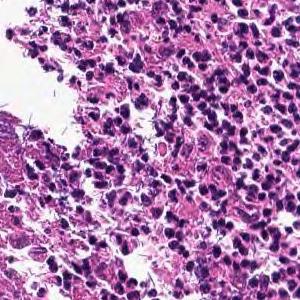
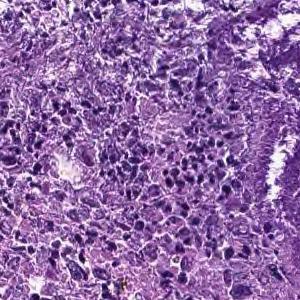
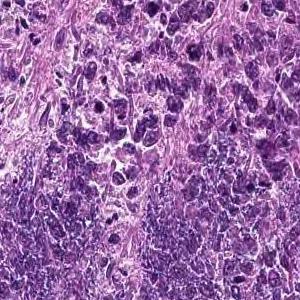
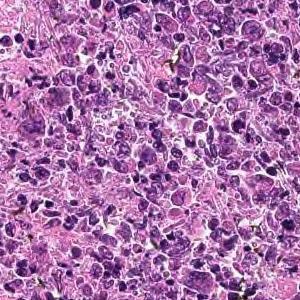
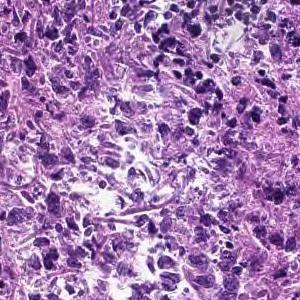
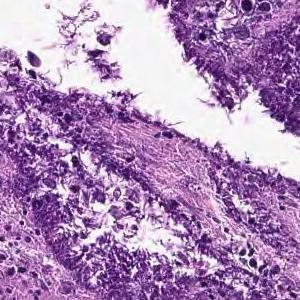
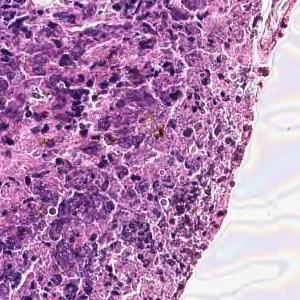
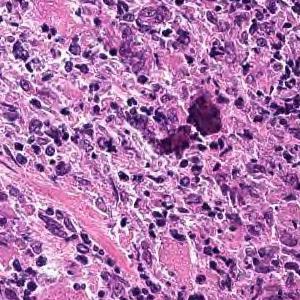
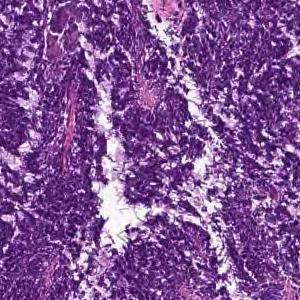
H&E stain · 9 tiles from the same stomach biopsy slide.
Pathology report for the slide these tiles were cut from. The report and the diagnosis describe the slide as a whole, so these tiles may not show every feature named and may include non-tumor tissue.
Cancers with polygonal nuclei do not show glandular formation and are densely, in part, cord-like and proliferate. Poorly differentiated adenocarcinoma
Subtype: Poorly differentiated adenocarcinoma, non-solid type.
The non-solid type named here is a Japanese Classification of Gastric Carcinoma category.
